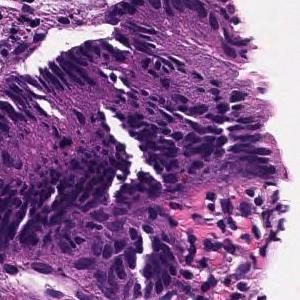
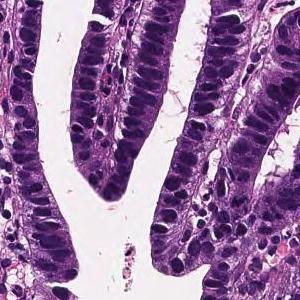
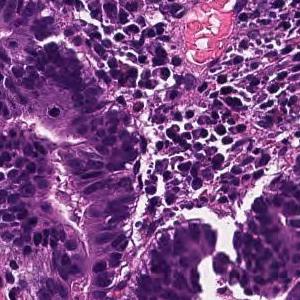
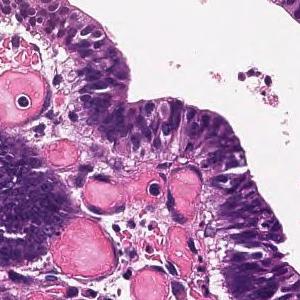
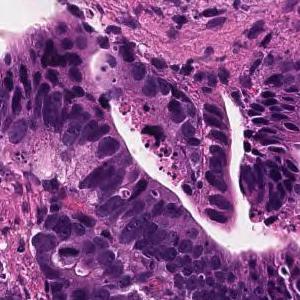
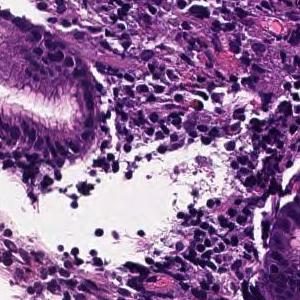
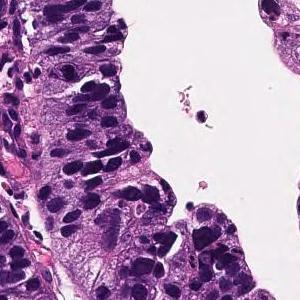
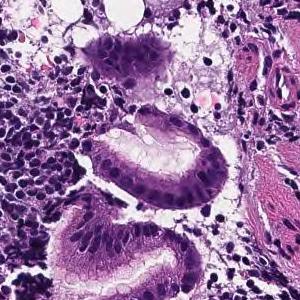
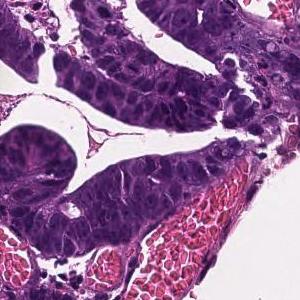
Hematoxylin and eosin stain, 20× magnification, 9 tiles cut from one stomach biopsy slide, 300×300 px each.
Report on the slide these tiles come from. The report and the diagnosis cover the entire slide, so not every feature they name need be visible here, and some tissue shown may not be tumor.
Tumor tissue consisting of large papillary structures is found in the superficial epithelium. Papillary adenocarcinoma.
